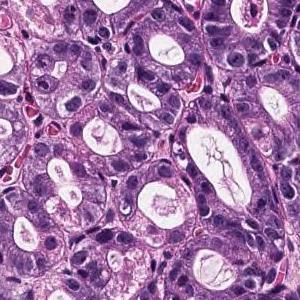
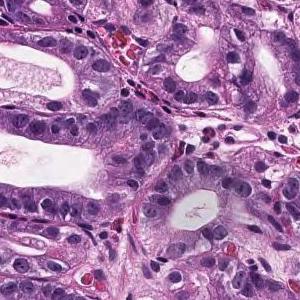
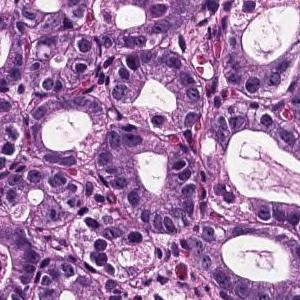
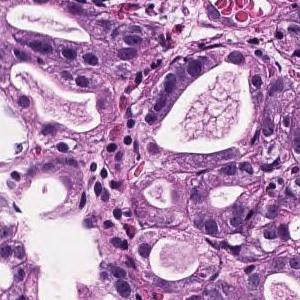
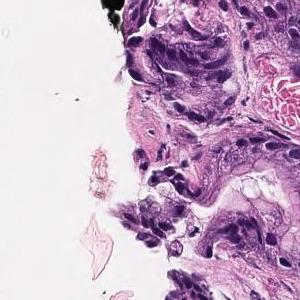
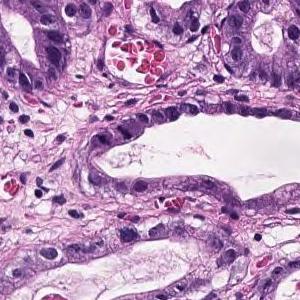
6 image tiles from a single gastric biopsy slide · ×20.
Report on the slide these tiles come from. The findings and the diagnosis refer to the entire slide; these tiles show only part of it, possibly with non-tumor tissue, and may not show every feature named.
On the superficial epithelium, tumor tissue that infiltrates by forming medium-sized round or small irregular ducts is observed. Papillary adenocarcinoma
